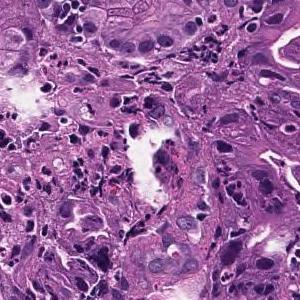
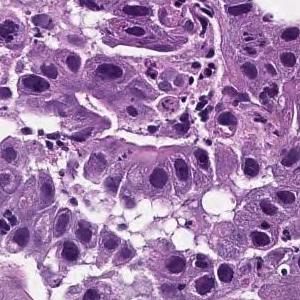
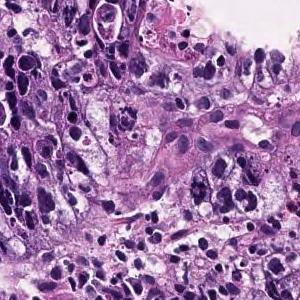
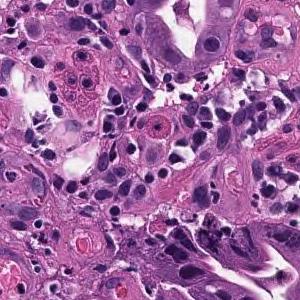
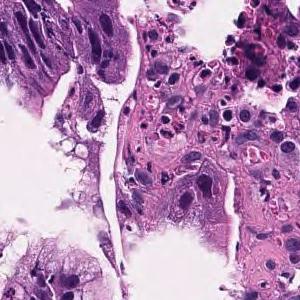
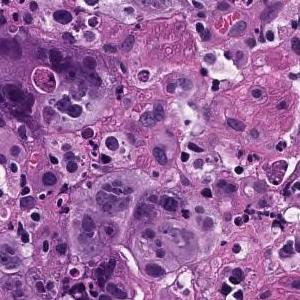
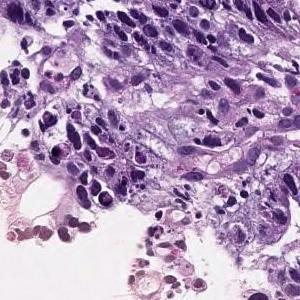
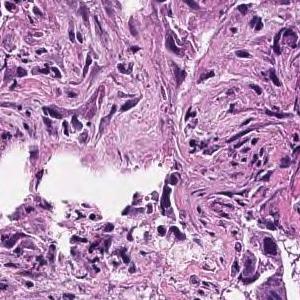
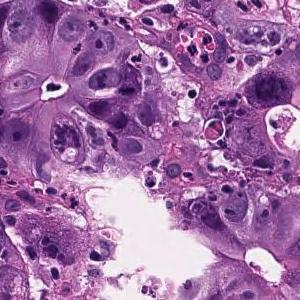
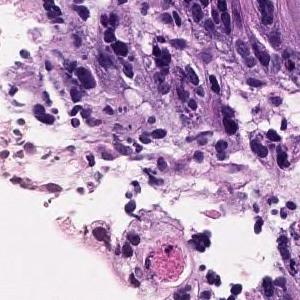
10 tiles cut from one stomach biopsy slide, hematoxylin and eosin stain, scanned at ×20.
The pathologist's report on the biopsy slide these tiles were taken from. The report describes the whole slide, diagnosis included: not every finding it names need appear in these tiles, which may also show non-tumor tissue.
In the superficial epithelium, medium to small irregular gland ducts are formed, and in some cases, the ducts are fused to show solid alveolar lesions and infiltrating tumor tissue is observed. Moderately to poorly differentiated adenocarcinoma
